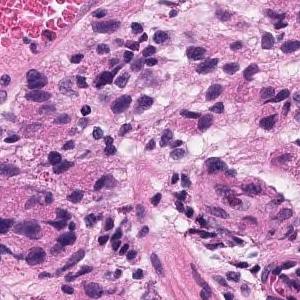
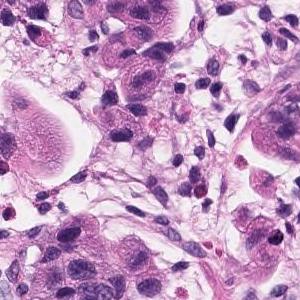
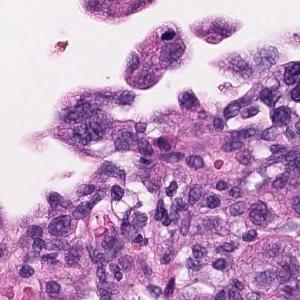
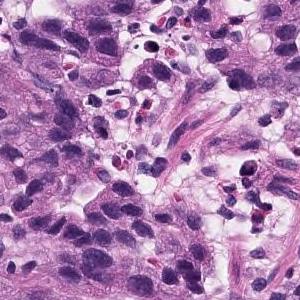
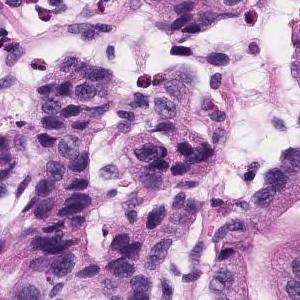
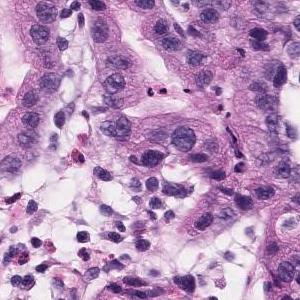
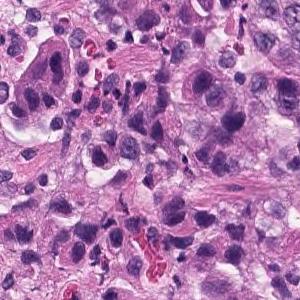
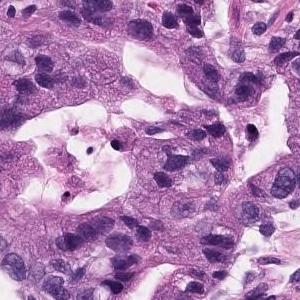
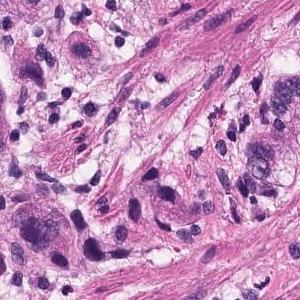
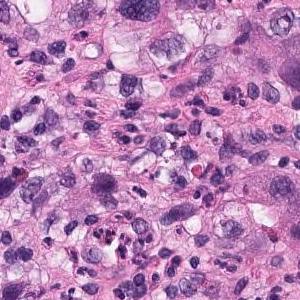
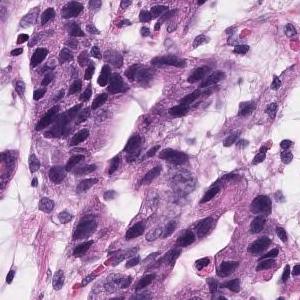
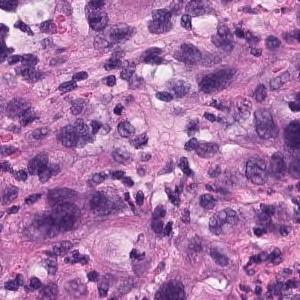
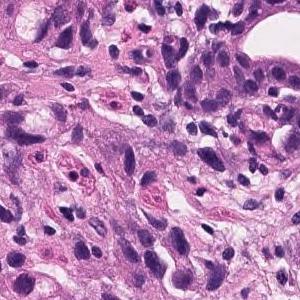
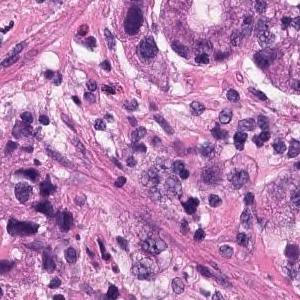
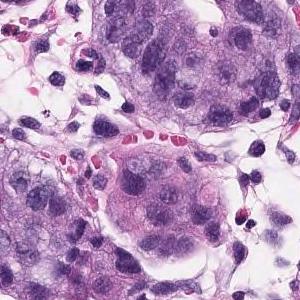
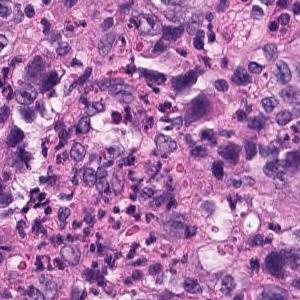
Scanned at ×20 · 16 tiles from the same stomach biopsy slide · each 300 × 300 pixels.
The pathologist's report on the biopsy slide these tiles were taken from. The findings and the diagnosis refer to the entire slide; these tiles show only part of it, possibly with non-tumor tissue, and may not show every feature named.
Atypical l cells with atypical nuclei forming diffuse or small irregular atypical ducts and growing. Moderately to poorly differentiated adenocarcinoma (poorly differentiated adenocarcinoma, solid type, moderately differentiated tubular adenocarcinoma)
Histologic type: Moderately to poorly differentiated adenocarcinoma.
The solid type named here is a Japanese Classification of Gastric Carcinoma category; WHO 2019 calls it tubular adenocarcinoma, poorly differentiated.
